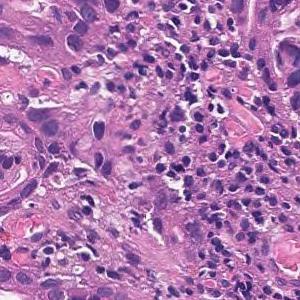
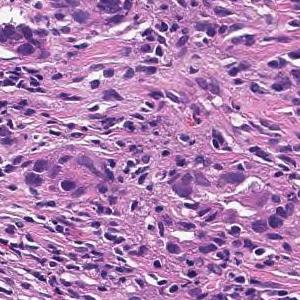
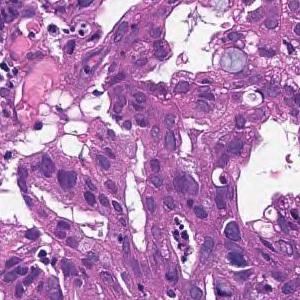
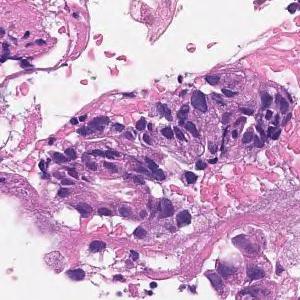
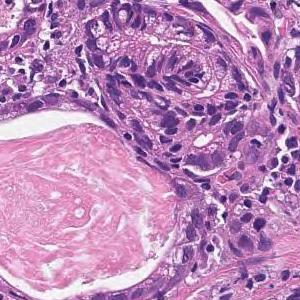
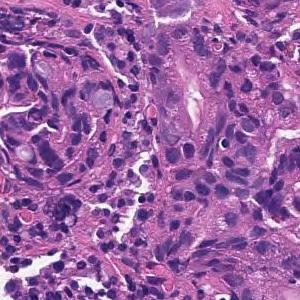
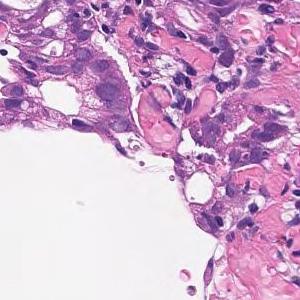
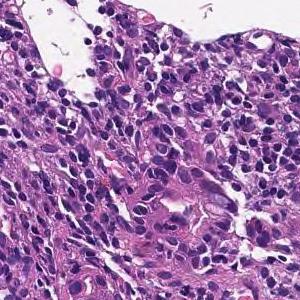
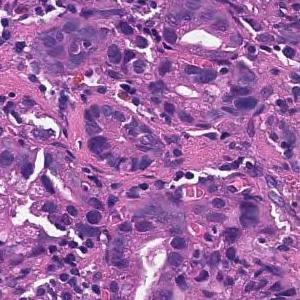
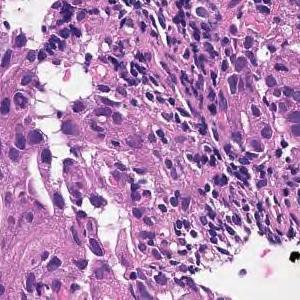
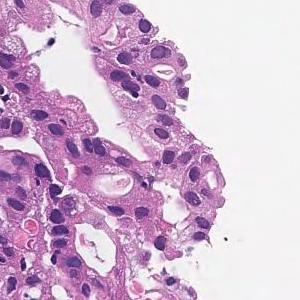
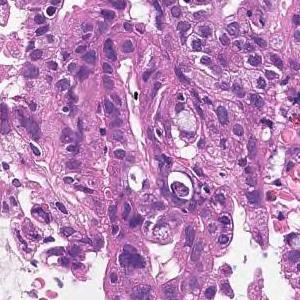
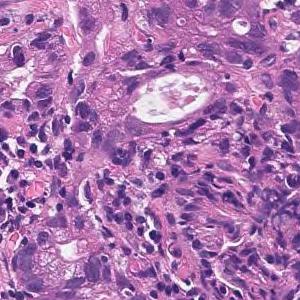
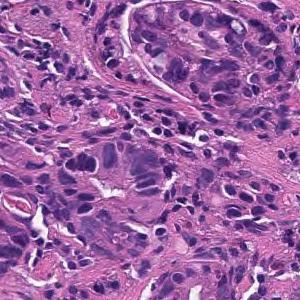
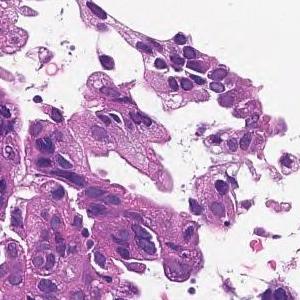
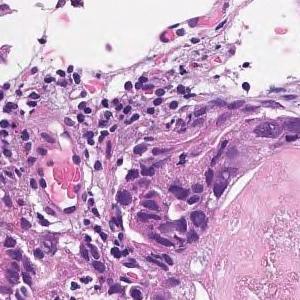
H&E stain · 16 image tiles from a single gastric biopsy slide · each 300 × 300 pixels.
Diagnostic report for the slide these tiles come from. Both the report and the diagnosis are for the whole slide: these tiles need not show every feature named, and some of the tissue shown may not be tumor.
In the superficial epithelium, tumor tissue that invades by forming medium-sized to small, irregular ducts is observed. moderately differentiated tubular adenocarcinoma.
